9 image tiles from a single gastric biopsy slide, H&E stain.
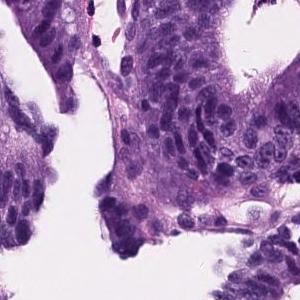
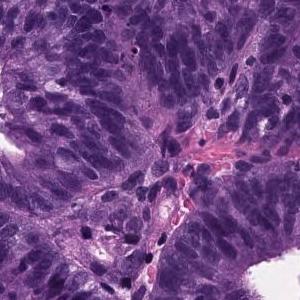
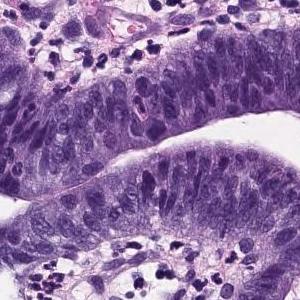
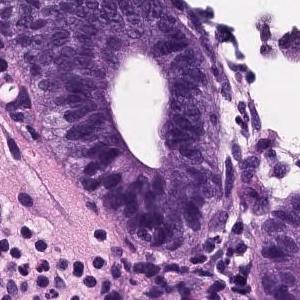
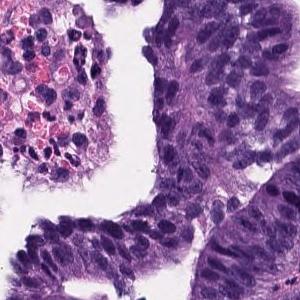
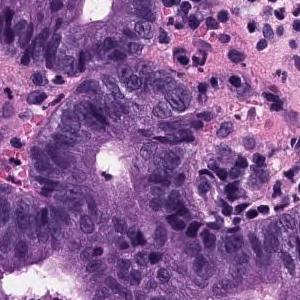
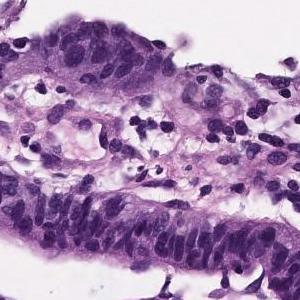
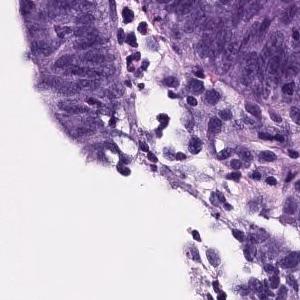
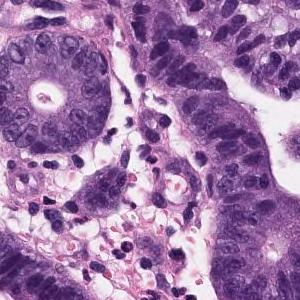
Pathology report for the slide these tiles were cut from. The report and the diagnosis cover the entire slide, so not every feature they name need be visible here, and some tissue shown may not be tumor.
Papillo-tubular growth of atypical tubules with nuclear swelling is observed. Well differentiated tubular adenocarcinoma
